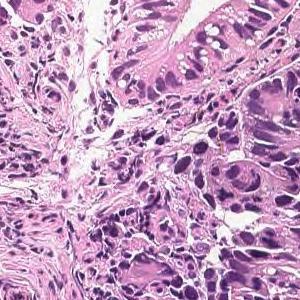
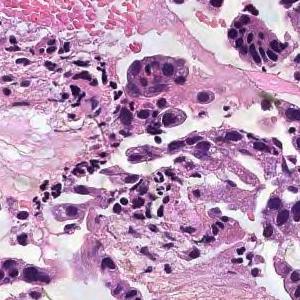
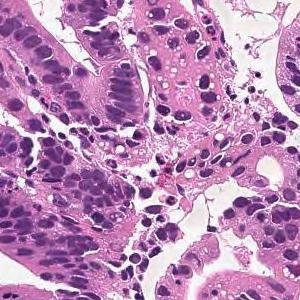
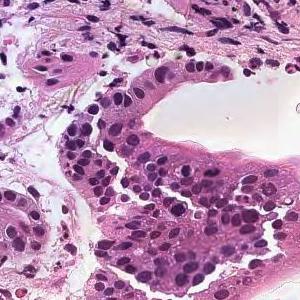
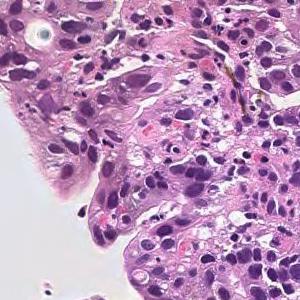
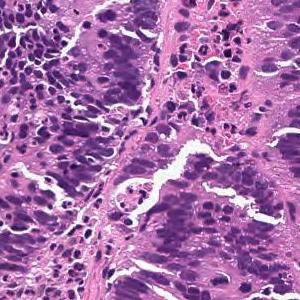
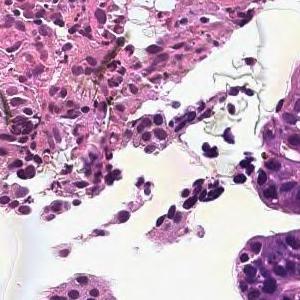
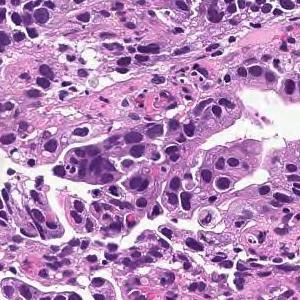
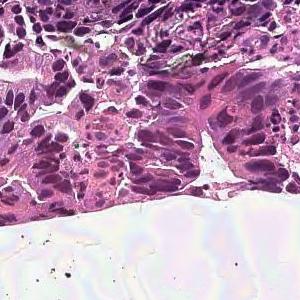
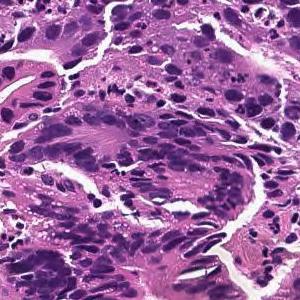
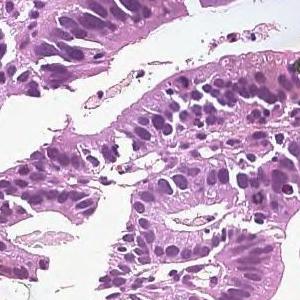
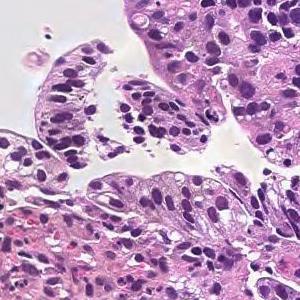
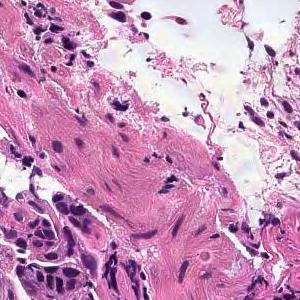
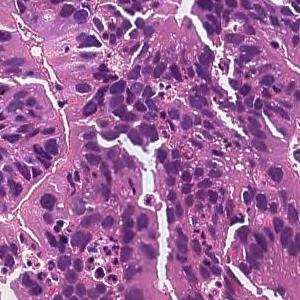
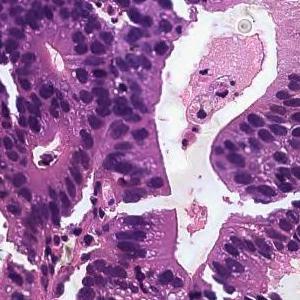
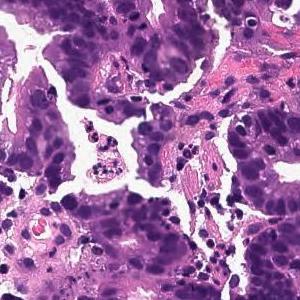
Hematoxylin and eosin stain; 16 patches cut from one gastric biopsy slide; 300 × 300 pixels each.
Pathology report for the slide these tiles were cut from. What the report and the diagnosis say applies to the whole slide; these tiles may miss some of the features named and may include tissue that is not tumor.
On the superficial epithelium, tumor tissue consisting of large irregular glandular ducts partially fused and infiltrated is observed. Well to moderately differentiated tubular adenocarcinoma (well differentiated tubular adenocarcinoma, moderately differentiated tubular adenocarcinoma)
Histologic type: Well to moderately differentiated tubular adenocarcinoma.
